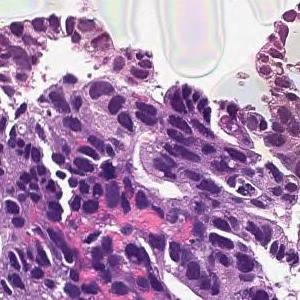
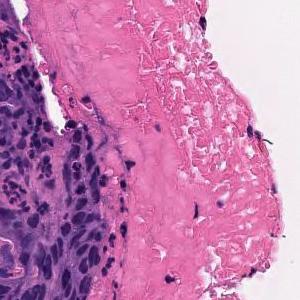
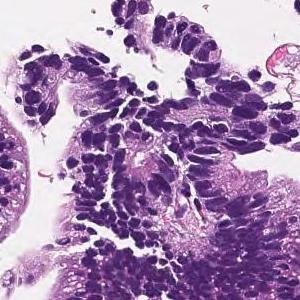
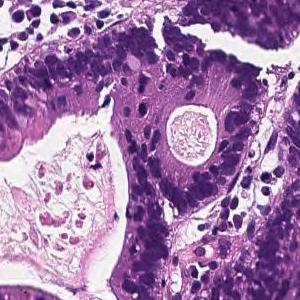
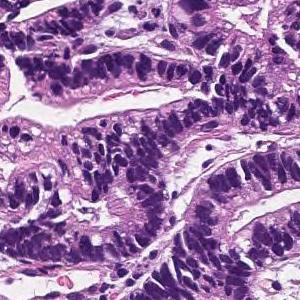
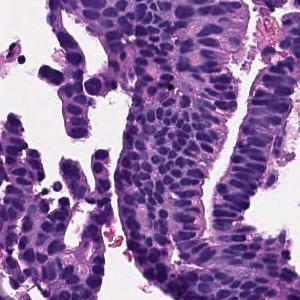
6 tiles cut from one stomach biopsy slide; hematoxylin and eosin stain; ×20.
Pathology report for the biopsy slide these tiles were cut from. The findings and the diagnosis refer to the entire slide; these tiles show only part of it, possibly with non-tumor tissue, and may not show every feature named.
In the superficial epithelium, tumor tissue that invades by forming medium-sized to small, irregular ducts is observed. moderately differentiated tubular adenocarcinoma.
